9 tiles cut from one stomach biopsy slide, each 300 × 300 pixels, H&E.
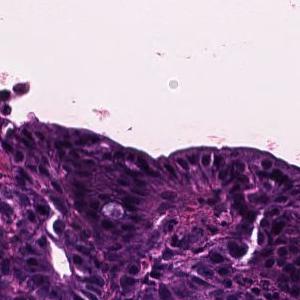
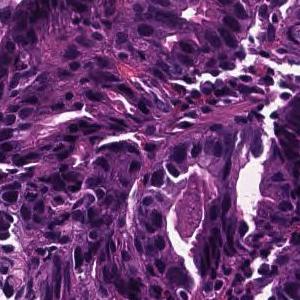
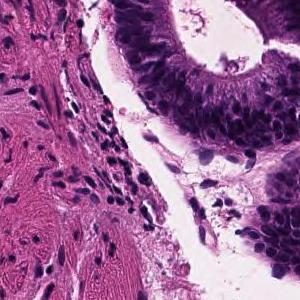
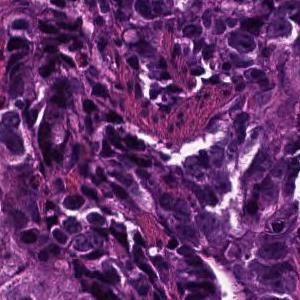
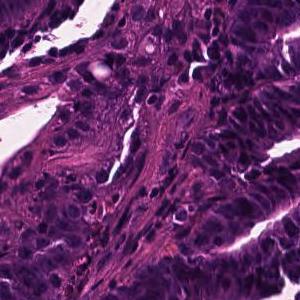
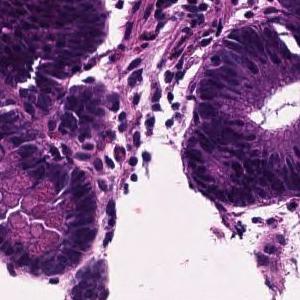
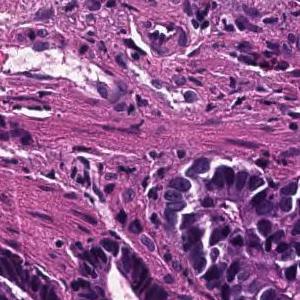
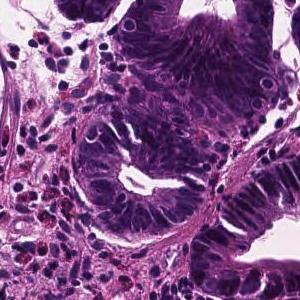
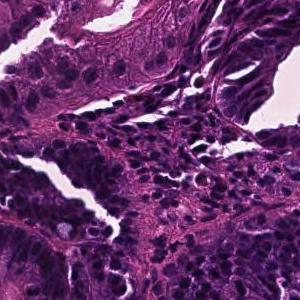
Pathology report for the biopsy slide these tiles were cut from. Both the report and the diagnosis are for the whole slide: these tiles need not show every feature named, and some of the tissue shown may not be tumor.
In the superficial epithelium, tumor tissue that invades by forming medium-sized to small, irregular ducts is observed. moderately differentiated tubular adenocarcinoma.
